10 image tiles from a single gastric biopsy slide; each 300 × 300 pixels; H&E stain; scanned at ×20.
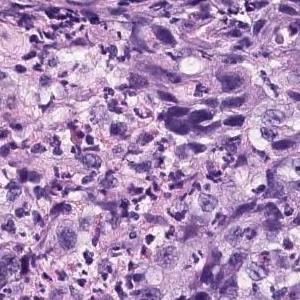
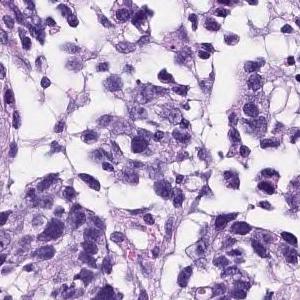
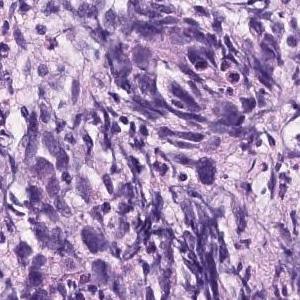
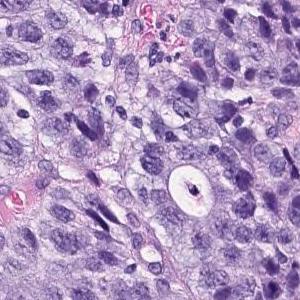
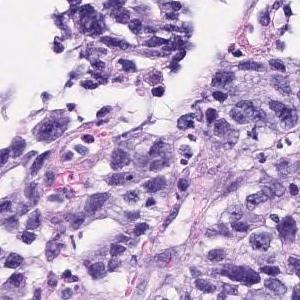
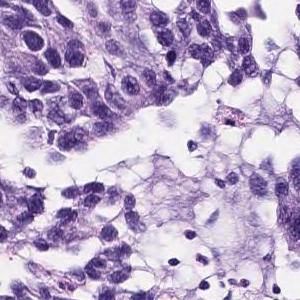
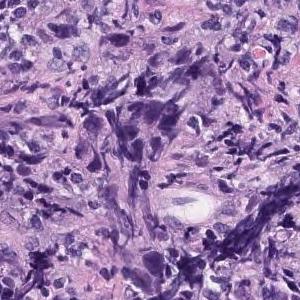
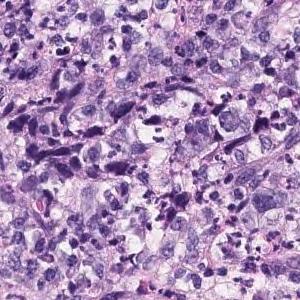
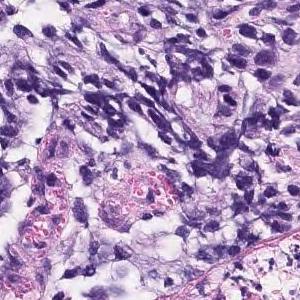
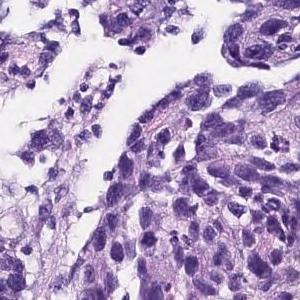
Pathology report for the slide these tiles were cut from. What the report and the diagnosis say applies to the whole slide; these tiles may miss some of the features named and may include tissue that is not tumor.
The superficial epithelium shows a large sheet-like shape, and some tumor tissue infiltrates with small irregular ducts. Poorly differentiated adenocarcinoma, solid-type
Tumor subtype: poorly differentiated adenocarcinoma, solid type (Japanese Classification of Gastric Carcinoma). The WHO 2019 equivalent is tubular adenocarcinoma, poorly differentiated.
